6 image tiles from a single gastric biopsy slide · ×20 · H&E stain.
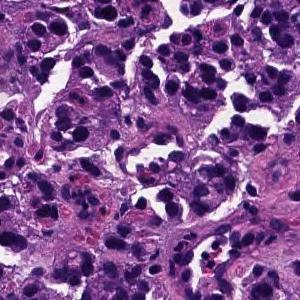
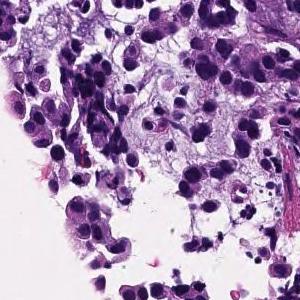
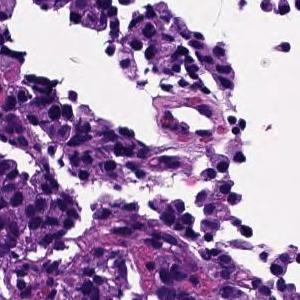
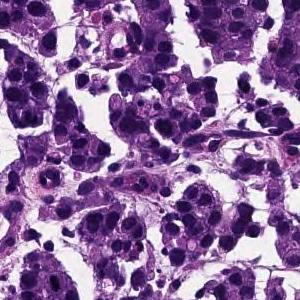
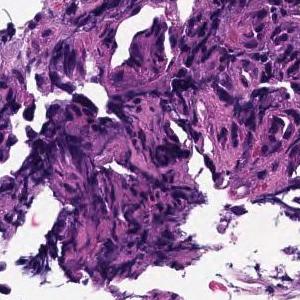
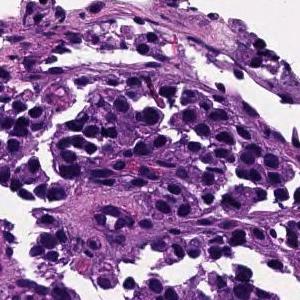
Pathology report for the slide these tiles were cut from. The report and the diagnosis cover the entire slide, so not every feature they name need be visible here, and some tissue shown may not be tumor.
The superficial epithelium shows a large alveolar shape and infiltrates tumor tissue. Poorly differentiated adenocarcinoma, solid-type
Subtype: Poorly differentiated adenocarcinoma, solid type. This name comes from the Japanese Classification of Gastric Carcinoma; the WHO 2019 classification calls it tubular adenocarcinoma, poorly differentiated.
